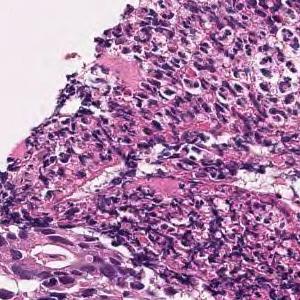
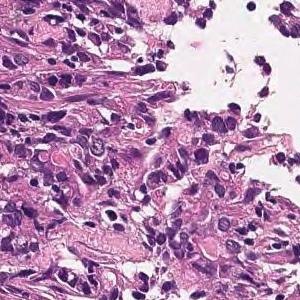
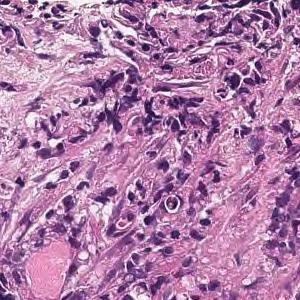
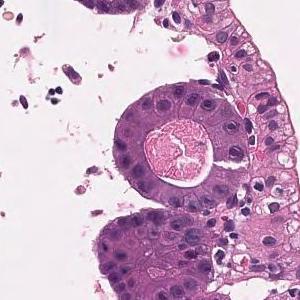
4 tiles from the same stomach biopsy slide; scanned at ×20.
Pathology report for the slide these tiles were cut from. The report and the diagnosis cover the entire slide, so not every feature they name need be visible here, and some tissue shown may not be tumor.
Tumor tissue consisting of cord-like or small, irregular glandular ducts fused and infiltrated is observed in the superficial epithelium. Poorly differentiated adenocarcinoma, non-solid type
"Non-solid type" is a category of the Japanese Classification of Gastric Carcinoma.
